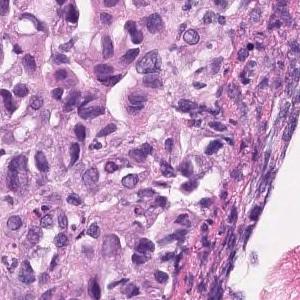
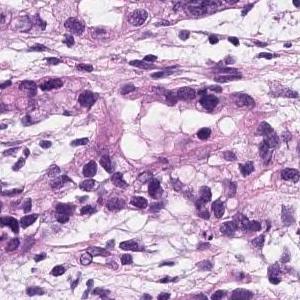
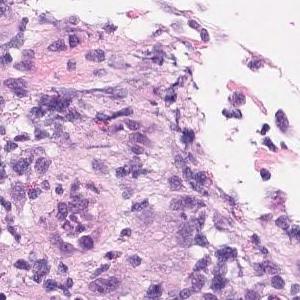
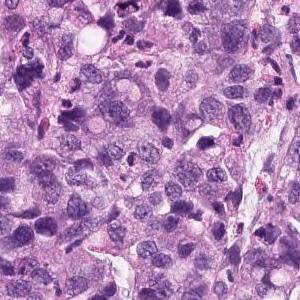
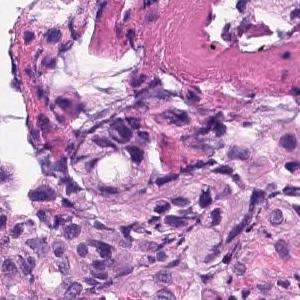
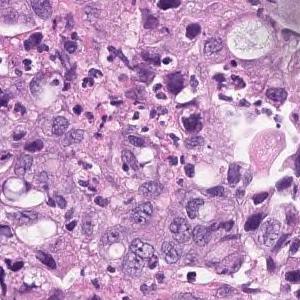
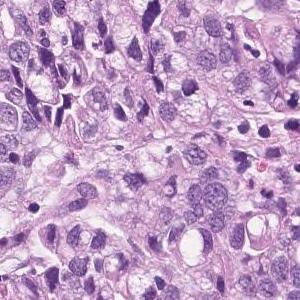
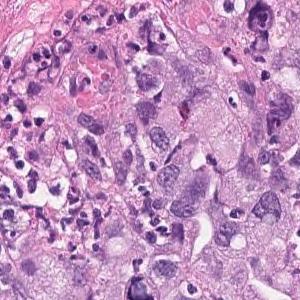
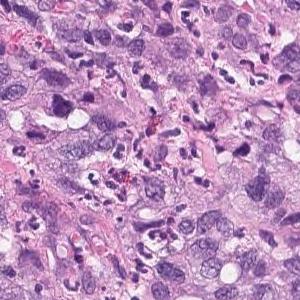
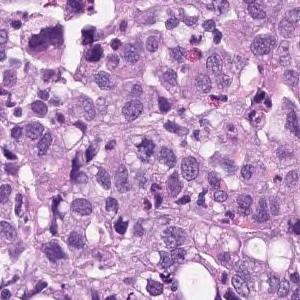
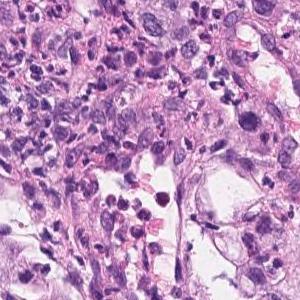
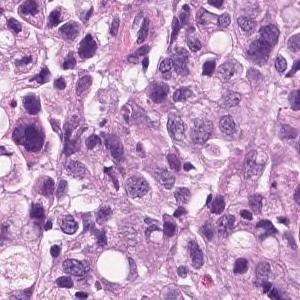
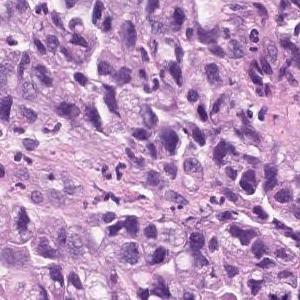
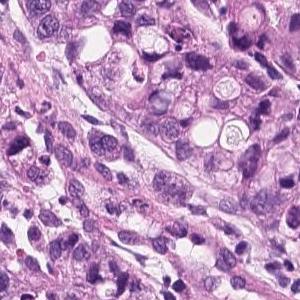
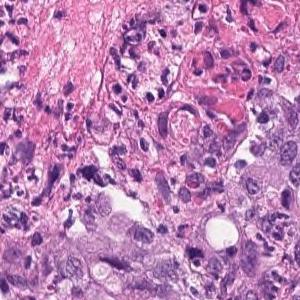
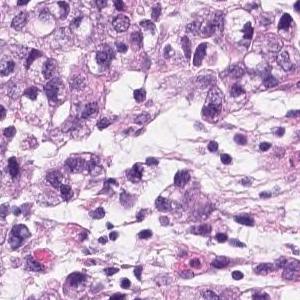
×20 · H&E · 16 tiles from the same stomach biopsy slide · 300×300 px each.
Report on the slide these tiles come from. What the report and the diagnosis say applies to the whole slide; these tiles may miss some of the features named and may include tissue that is not tumor.
Group 5, Adenocarcinoma. Poorly differentiated adenocarcinoma, non-solid type
"Non-solid type" is a category of the Japanese Classification of Gastric Carcinoma.
